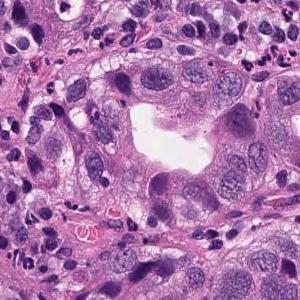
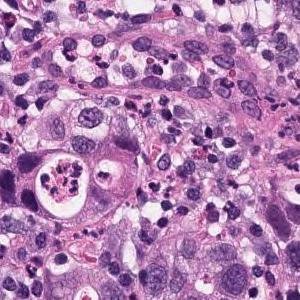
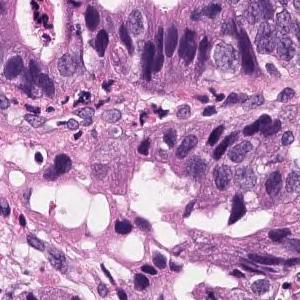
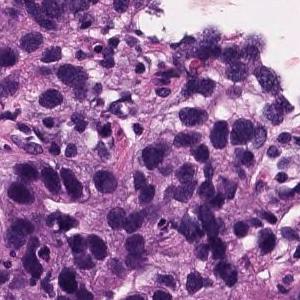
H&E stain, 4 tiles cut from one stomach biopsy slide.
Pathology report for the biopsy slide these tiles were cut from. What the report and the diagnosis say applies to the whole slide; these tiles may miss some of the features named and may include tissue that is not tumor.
In the superficial epithelium, tumor tissue that invades by forming medium-sized to small, irregular ducts is observed. Moderately differentiated adenocarcinoma.
Subtype: Moderately differentiated tubular adenocarcinoma.
